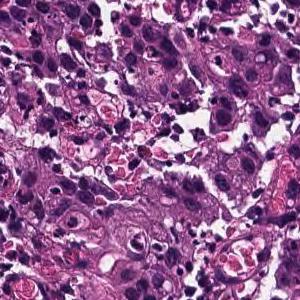
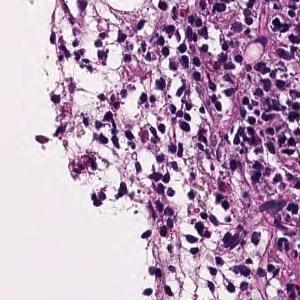
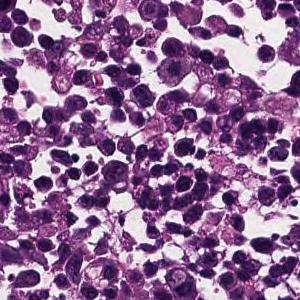
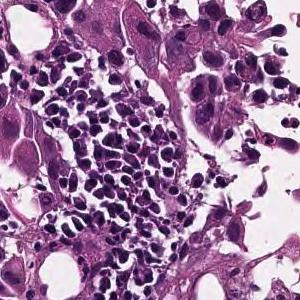
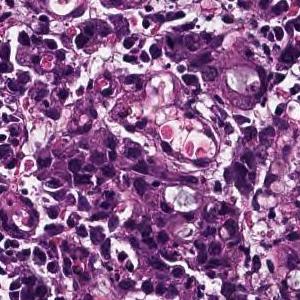
Hematoxylin and eosin stain; scanned at ×20; 5 patches cut from one gastric biopsy slide.
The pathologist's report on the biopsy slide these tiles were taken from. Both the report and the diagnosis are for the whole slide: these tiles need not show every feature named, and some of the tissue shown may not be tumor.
The superficial epithelium shows a large sheet-like shape, and some tumor tissue infiltrates with small irregular ducts. Poorly differentiated adenocarcinoma, solid-type
Histologic type: Poorly differentiated adenocarcinoma, solid type (Japanese Classification of Gastric Carcinoma). The WHO 2019 equivalent is tubular adenocarcinoma, poorly differentiated.
